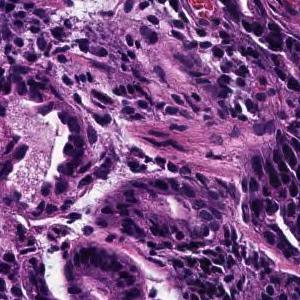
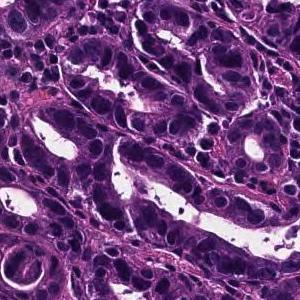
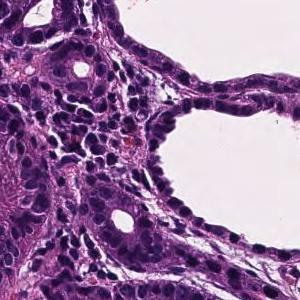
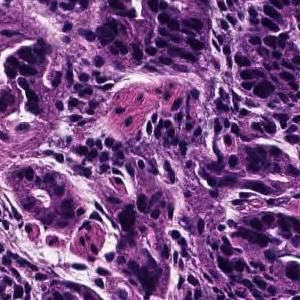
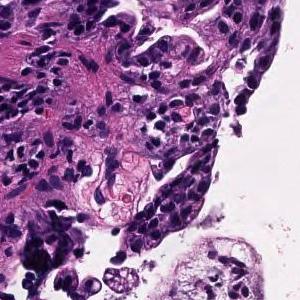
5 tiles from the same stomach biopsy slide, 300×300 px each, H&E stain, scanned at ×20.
Report on the slide these tiles come from. The report describes the whole slide, diagnosis included: not every finding it names need appear in these tiles, which may also show non-tumor tissue.
On the superficial epithelium, tumor tissue consisting of proliferative images of medium-sized to small-sized round or irregular glandular ducts is observed. Well differentiated tubular adenocarcinoma
